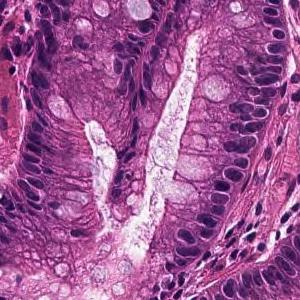
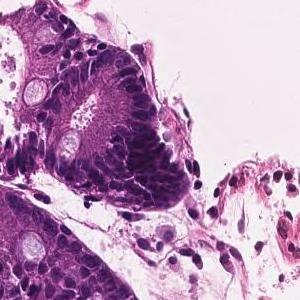
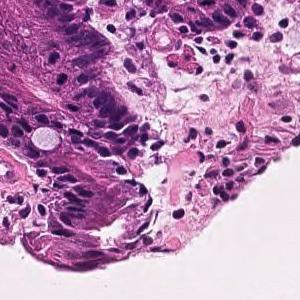
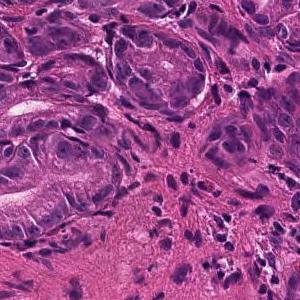
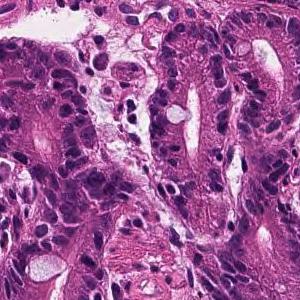
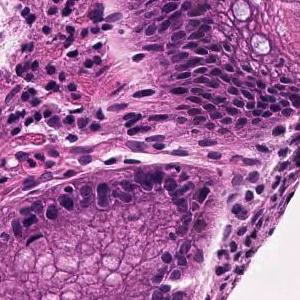
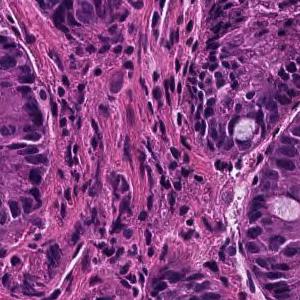
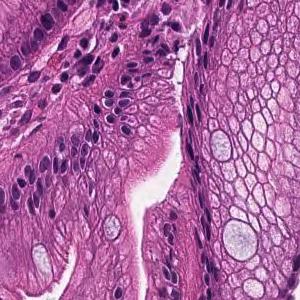
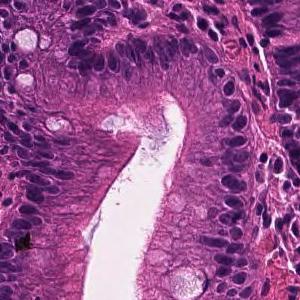
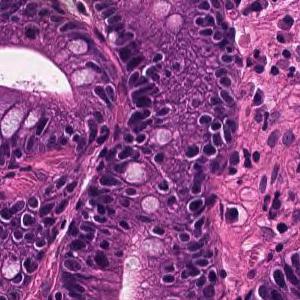
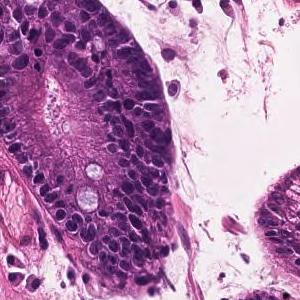
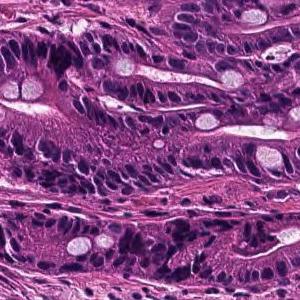
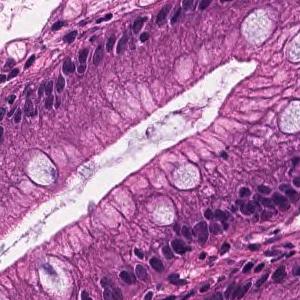
13 patches cut from one gastric biopsy slide, 300×300 px each, 20× magnification, H&E.
Pathology report for the slide these tiles were cut from. The findings and the diagnosis refer to the entire slide; these tiles show only part of it, possibly with non-tumor tissue, and may not show every feature named.
Medium to small, irregular glandular ducts are formed in the superficial epithelium, and in some cases, the glandular ducts are fused to show solid alveolar lesions and infiltrating tumor tissue is observed. Moderately to poorly differentiated adenocarcinoma.
